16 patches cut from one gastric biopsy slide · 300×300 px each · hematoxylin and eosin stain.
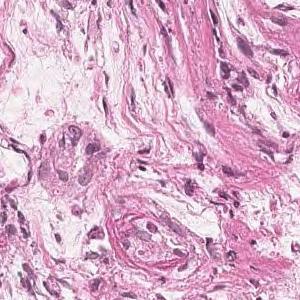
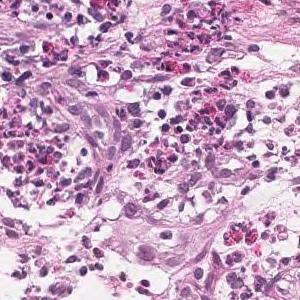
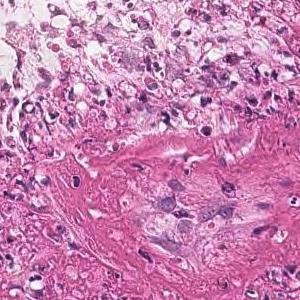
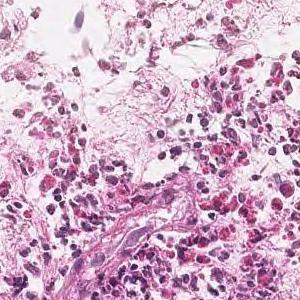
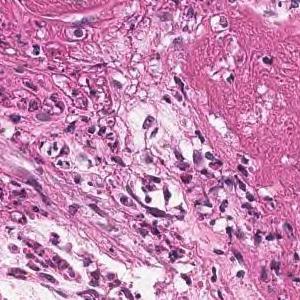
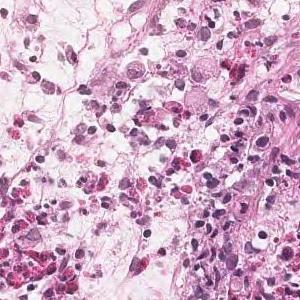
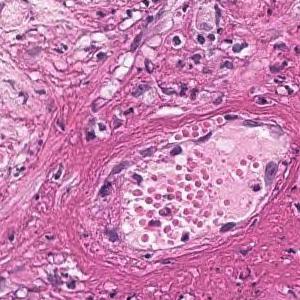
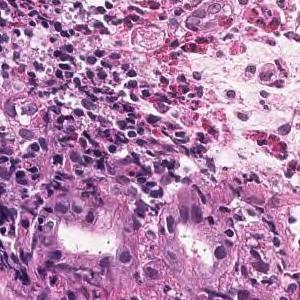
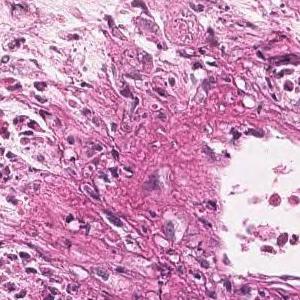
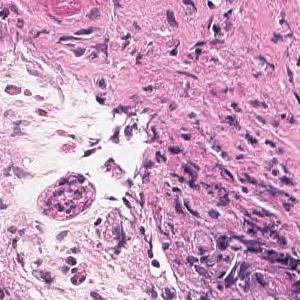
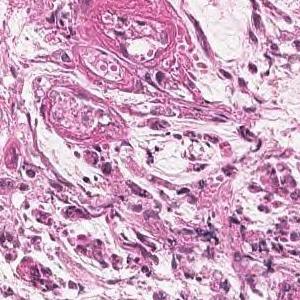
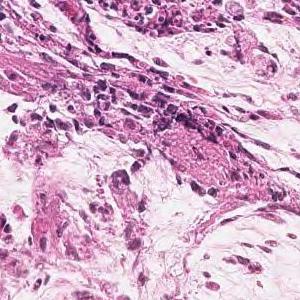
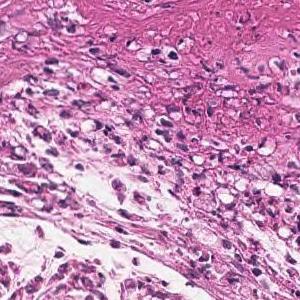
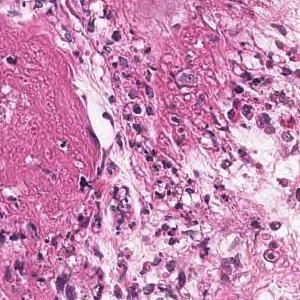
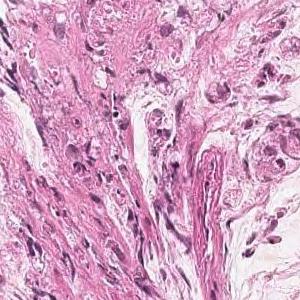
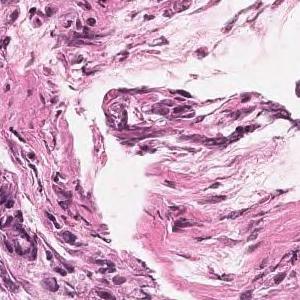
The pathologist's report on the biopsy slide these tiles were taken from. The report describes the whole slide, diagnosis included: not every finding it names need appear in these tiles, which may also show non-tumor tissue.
Tumor tissue is observed in which atypical epithelial cells with mucus in the vesicles proliferate while being isolated. Signet ring cell carcinoma
